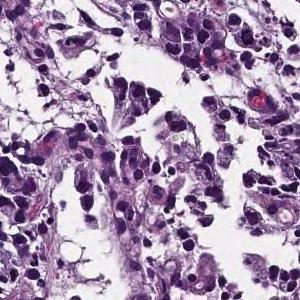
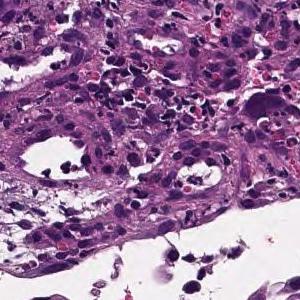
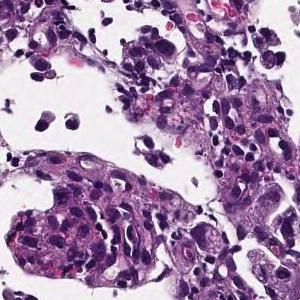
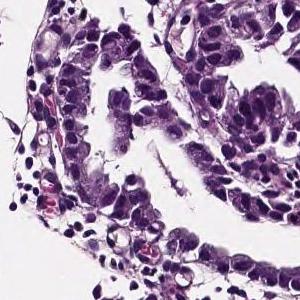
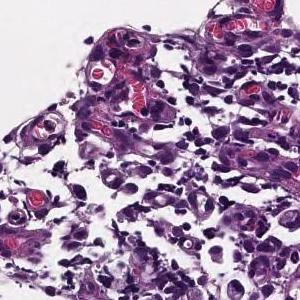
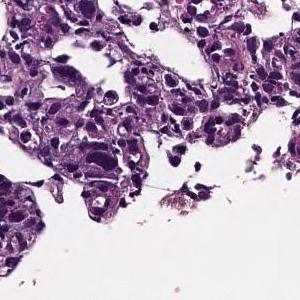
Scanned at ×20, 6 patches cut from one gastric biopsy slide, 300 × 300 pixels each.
Pathology report for the slide these tiles were cut from. What the report and the diagnosis say applies to the whole slide; these tiles may miss some of the features named and may include tissue that is not tumor.
Medium to small, irregular glandular ducts are formed in the superficial epithelium, and in some cases, the glandular ducts are fused to show solid alveolar lesions and infiltrating tumor tissue is observed. Moderately to poorly differentiated adenocarcinoma.
